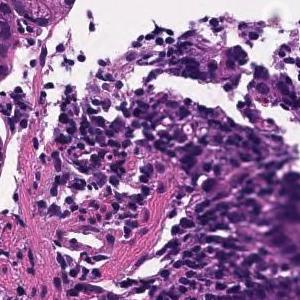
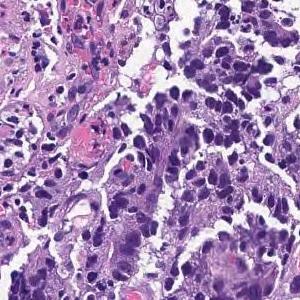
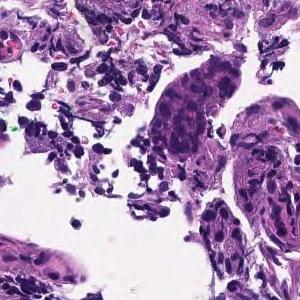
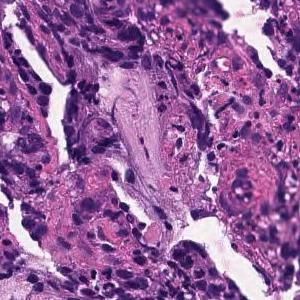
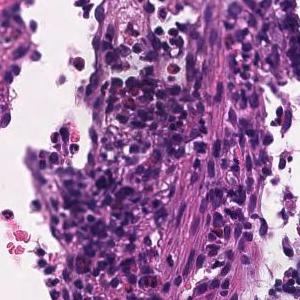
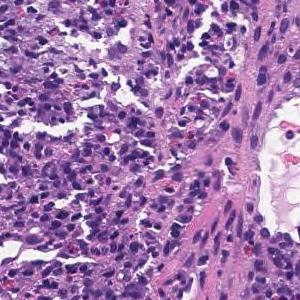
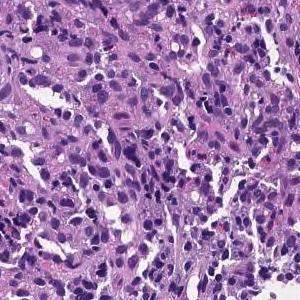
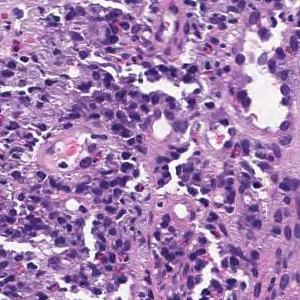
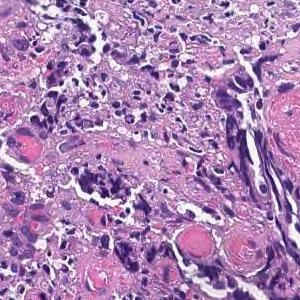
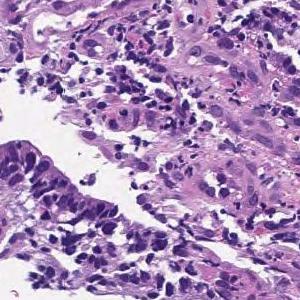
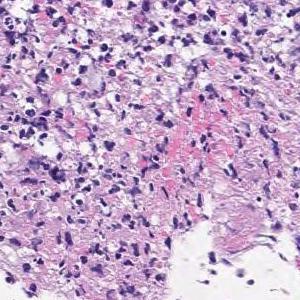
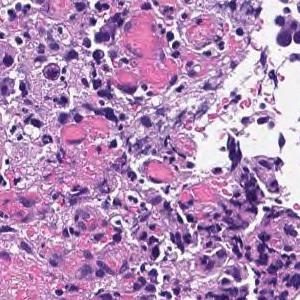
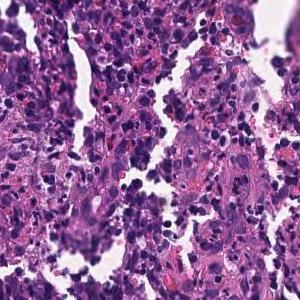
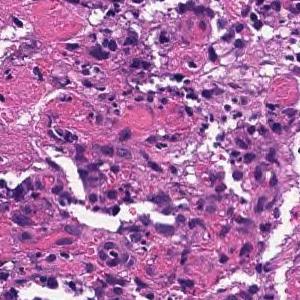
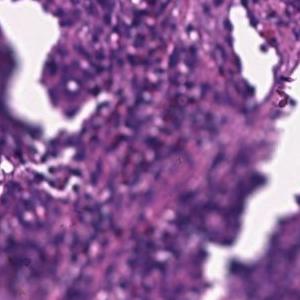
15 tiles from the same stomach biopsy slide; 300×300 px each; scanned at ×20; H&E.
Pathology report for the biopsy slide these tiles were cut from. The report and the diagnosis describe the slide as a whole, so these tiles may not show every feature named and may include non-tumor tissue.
On the superficial epithelium, tumor tissue consisting of large irregular glandular ducts partially fused and infiltrated is observed. Well to moderately differentiated tubular adenocarcinoma (well differentiated tubular adenocarcinoma, moderately differentiated tubular adenocarcinoma)
Subtype: Well to moderately differentiated tubular adenocarcinoma.
